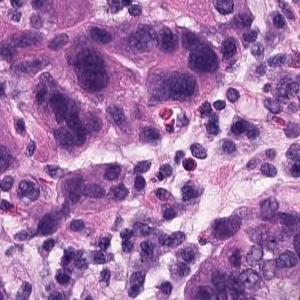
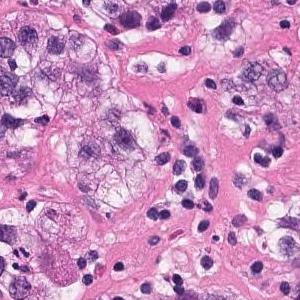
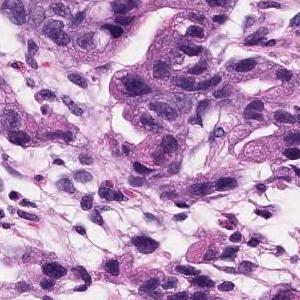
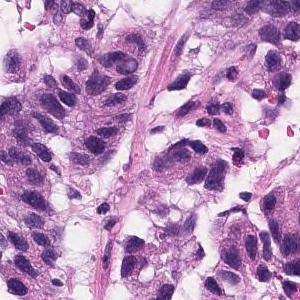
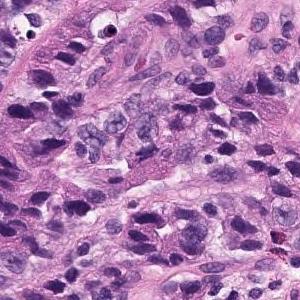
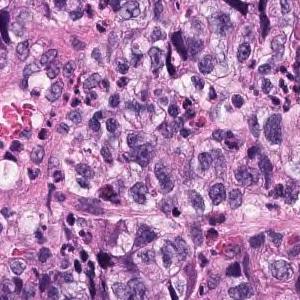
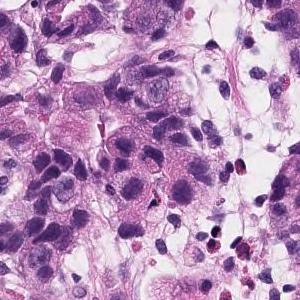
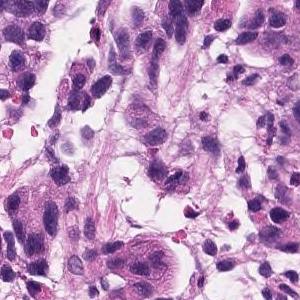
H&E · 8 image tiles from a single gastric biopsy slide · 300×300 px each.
The pathologist's report on the biopsy slide these tiles were taken from. What the report and the diagnosis say applies to the whole slide; these tiles may miss some of the features named and may include tissue that is not tumor.
Atypical l cells with atypical nuclei forming diffuse or small irregular atypical ducts and growing. Moderately to poorly differentiated adenocarcinoma (poorly differentiated adenocarcinoma, solid type, moderately differentiated tubular adenocarcinoma)
Tumor subtype: moderately to poorly differentiated adenocarcinoma.
The term "solid type" comes from the Japanese Classification of Gastric Carcinoma; the WHO 2019 equivalent is tubular adenocarcinoma, poorly differentiated.
